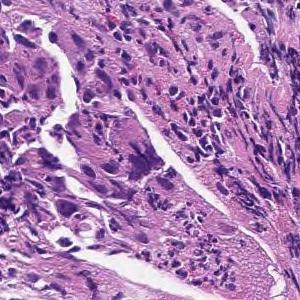
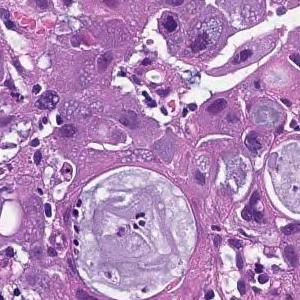
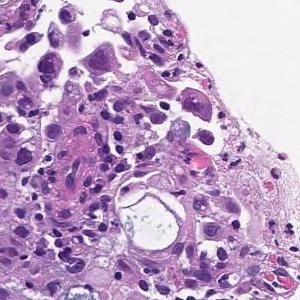
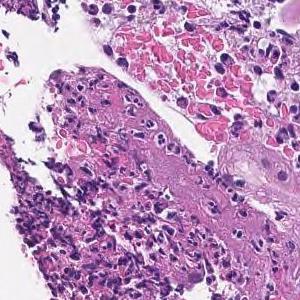
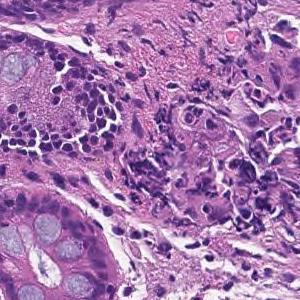
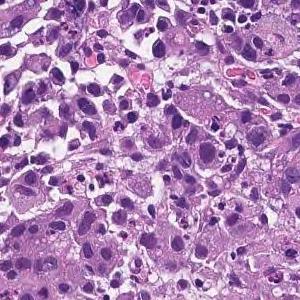
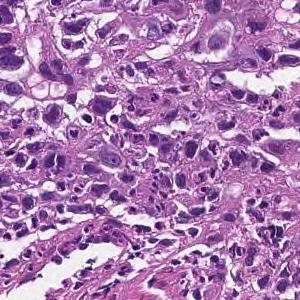
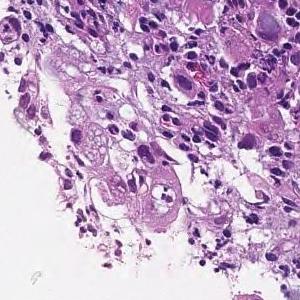
Hematoxylin and eosin stain; 8 tiles from the same stomach biopsy slide; each 300 × 300 pixels.
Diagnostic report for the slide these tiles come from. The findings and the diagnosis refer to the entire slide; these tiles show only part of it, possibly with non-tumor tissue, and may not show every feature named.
The superficial epithelium shows a large sheet-like shape, and some tumor tissue infiltrates with small irregular ducts. Poorly differentiated adenocarcinoma, solid-type
Histologic type: Poorly differentiated adenocarcinoma, solid type, a category of the Japanese Classification of Gastric Carcinoma; in the WHO 2019 classification it is tubular adenocarcinoma, poorly differentiated.
